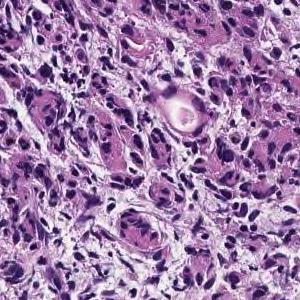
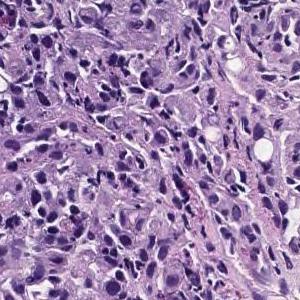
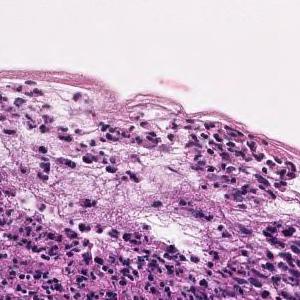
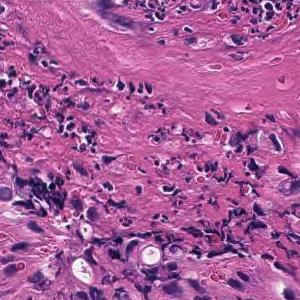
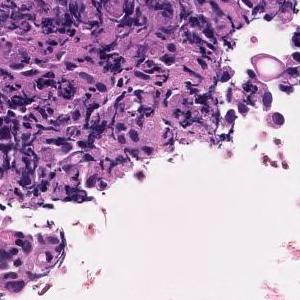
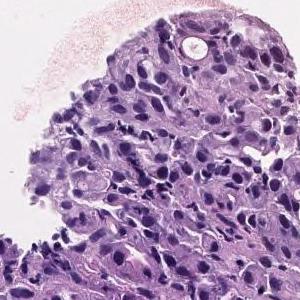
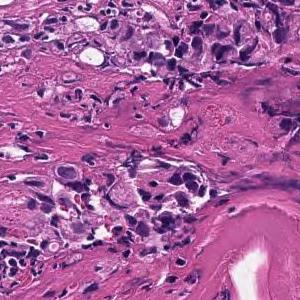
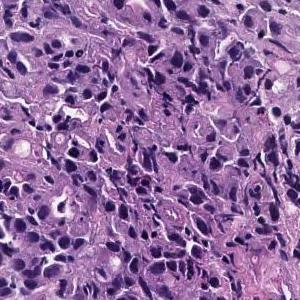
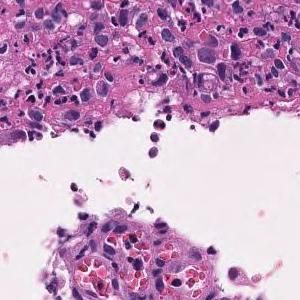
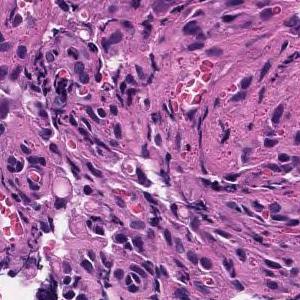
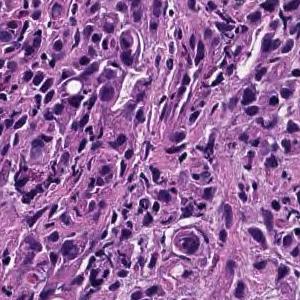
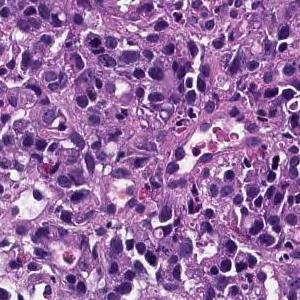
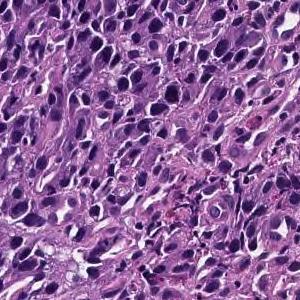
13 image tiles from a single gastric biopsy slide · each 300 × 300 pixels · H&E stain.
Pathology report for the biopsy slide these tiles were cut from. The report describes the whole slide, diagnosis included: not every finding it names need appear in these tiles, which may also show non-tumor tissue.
The superficial epithelium shows a large sheet-like shape, and some tumor tissue infiltrates with small irregular ducts. Poorly differentiated adenocarcinoma, solid-type
Histological subtype: Poorly differentiated adenocarcinoma, solid type, a category of the Japanese Classification of Gastric Carcinoma; in the WHO 2019 classification it is tubular adenocarcinoma, poorly differentiated.
